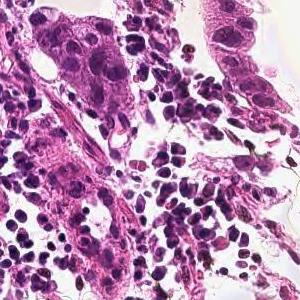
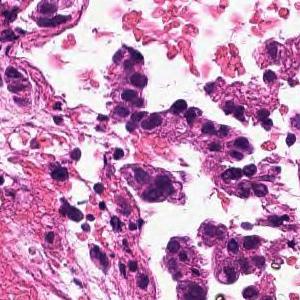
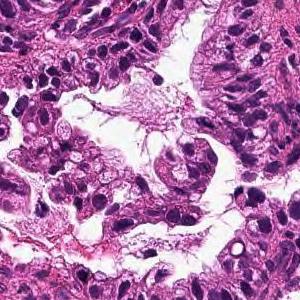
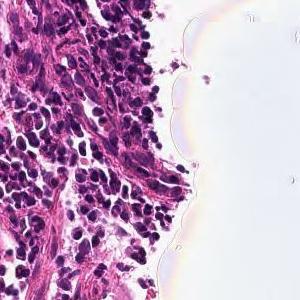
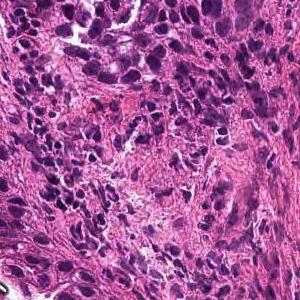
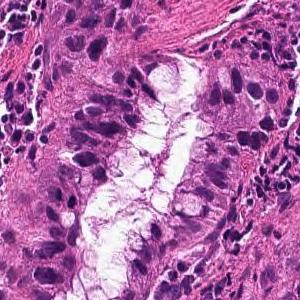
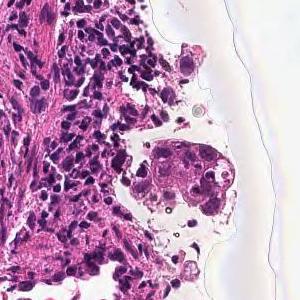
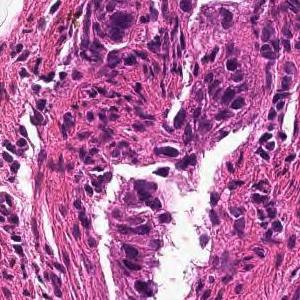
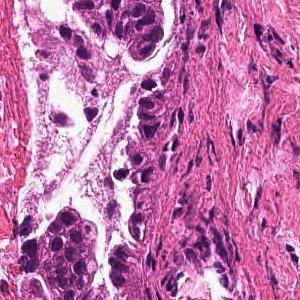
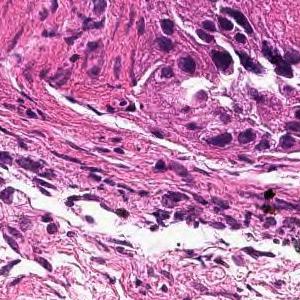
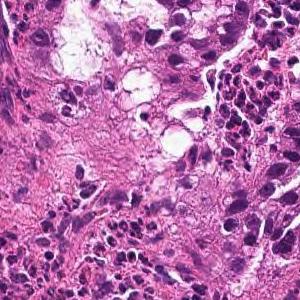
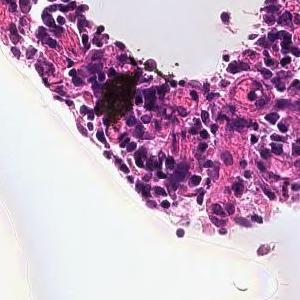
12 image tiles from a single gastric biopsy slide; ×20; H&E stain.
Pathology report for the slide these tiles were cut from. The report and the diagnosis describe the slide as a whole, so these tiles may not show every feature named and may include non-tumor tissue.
From the superficial epithelium to the muscularis mucosae, tumor tissue infiltrating by forming medium-sized irregular gland ducts is observed. Well differentiated tubular adenocarcinoma
